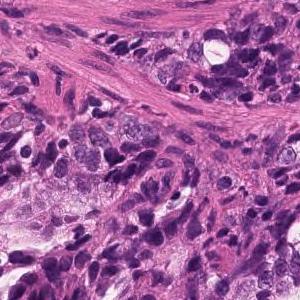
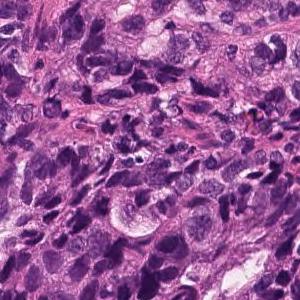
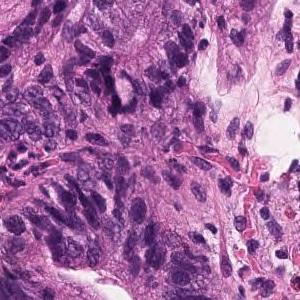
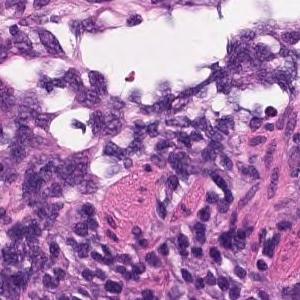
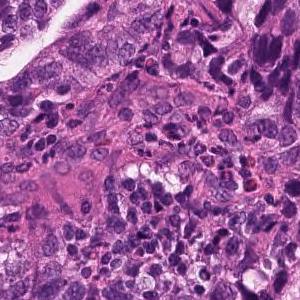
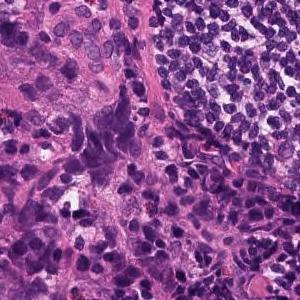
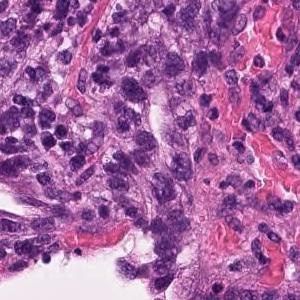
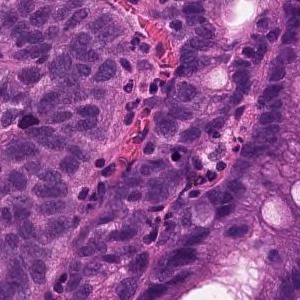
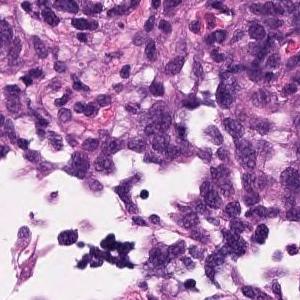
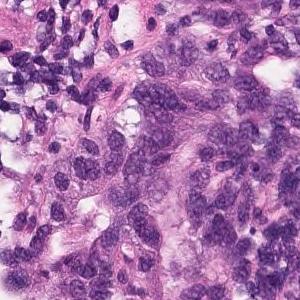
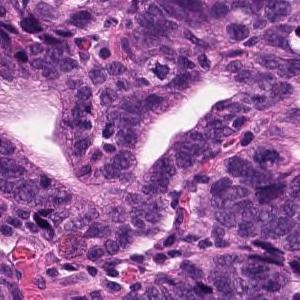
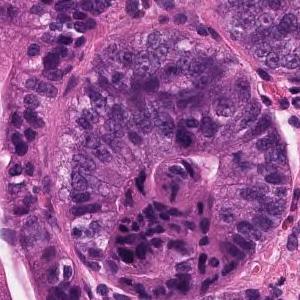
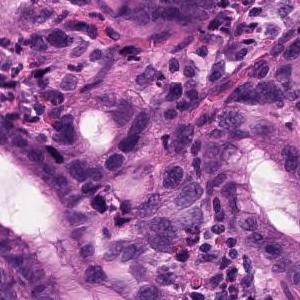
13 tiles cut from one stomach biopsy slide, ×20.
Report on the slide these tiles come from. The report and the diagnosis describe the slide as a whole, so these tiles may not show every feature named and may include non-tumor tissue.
In the superficial epithelium, tumor tissue that invades by forming medium-sized to small, irregular ducts is observed. Moderately differentiated adenocarcinoma.
Classified as moderately differentiated tubular adenocarcinoma.
